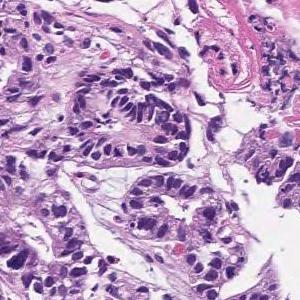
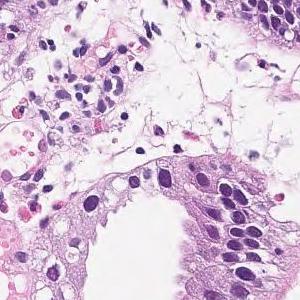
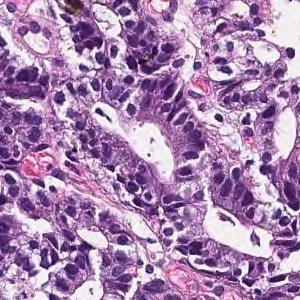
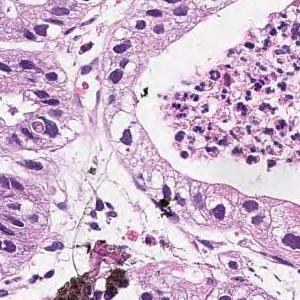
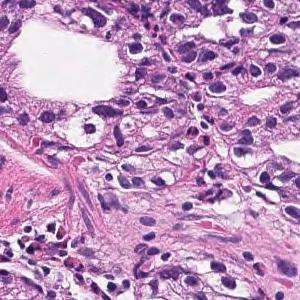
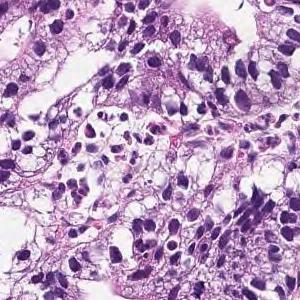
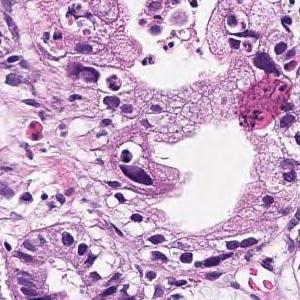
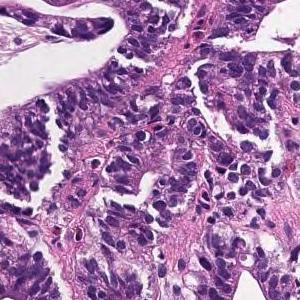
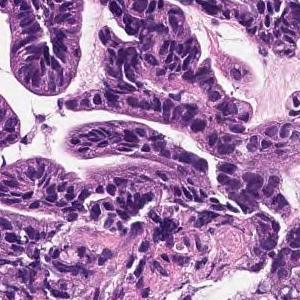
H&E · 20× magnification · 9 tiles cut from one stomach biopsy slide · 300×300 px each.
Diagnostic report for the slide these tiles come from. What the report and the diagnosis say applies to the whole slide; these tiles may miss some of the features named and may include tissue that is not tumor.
In the superficial epithelium, tumor tissue that invades by forming medium-sized to small, irregular ducts is observed. Moderately differentiated adenocarcinoma.
Subtype: Moderately differentiated tubular adenocarcinoma.
